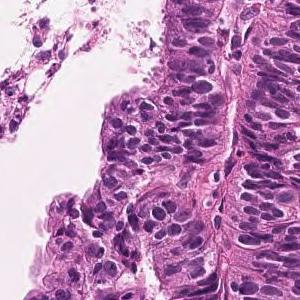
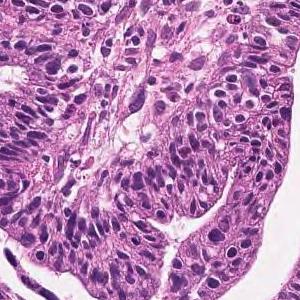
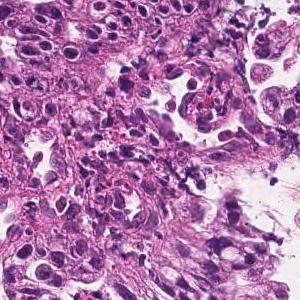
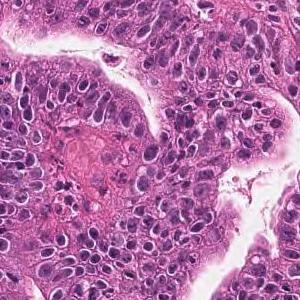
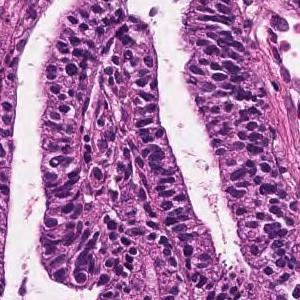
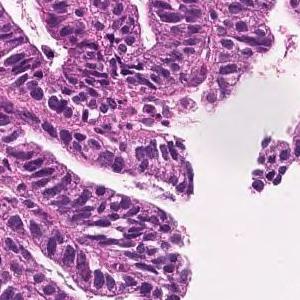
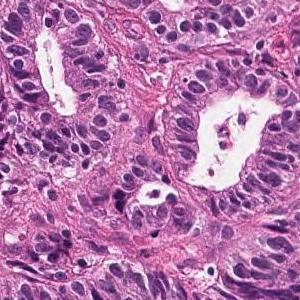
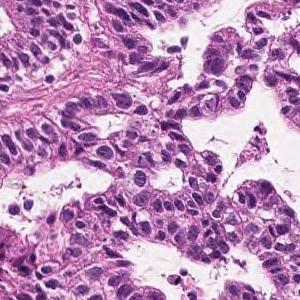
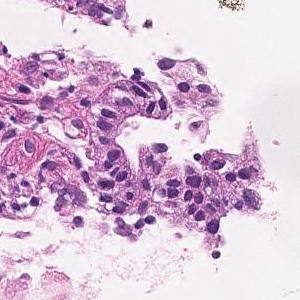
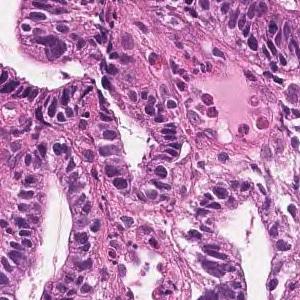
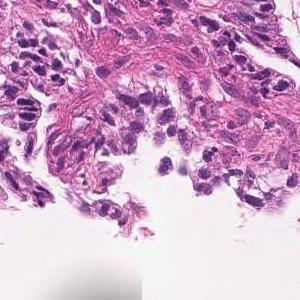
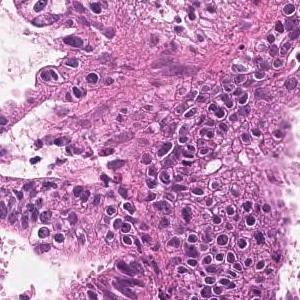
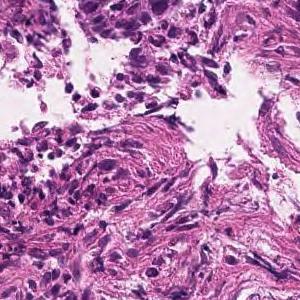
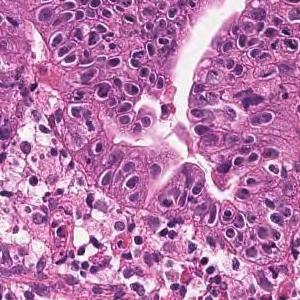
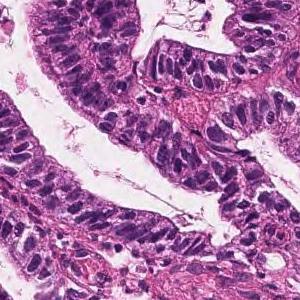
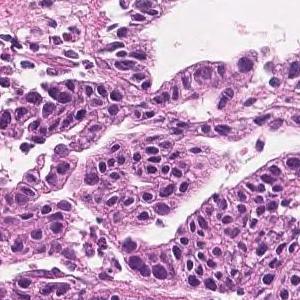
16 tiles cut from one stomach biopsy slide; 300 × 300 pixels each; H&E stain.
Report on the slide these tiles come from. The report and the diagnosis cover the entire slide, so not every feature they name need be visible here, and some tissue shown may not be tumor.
Tumor cells are large, highly columnar, large club-shaped nuclei, and are associated with chromatin aggregation. Papillary adenocarcinoma.
